13 tiles cut from one stomach biopsy slide · H&E · ×20.
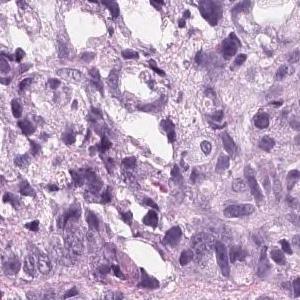
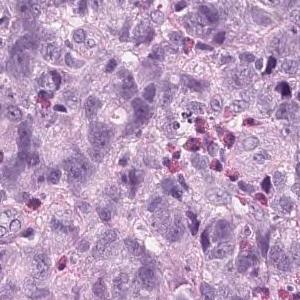
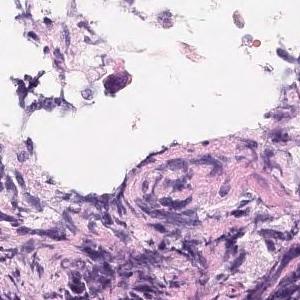
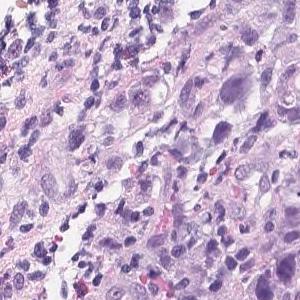
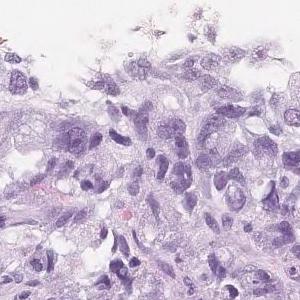
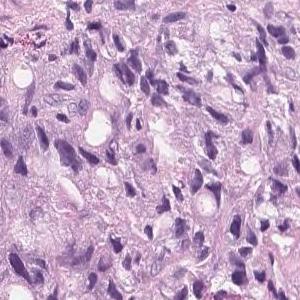
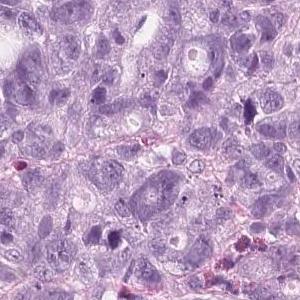
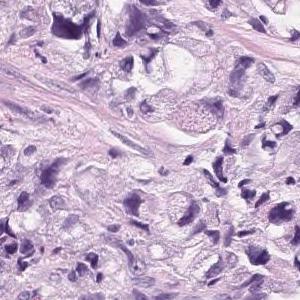
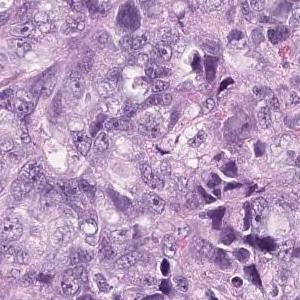
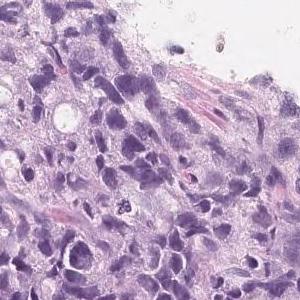
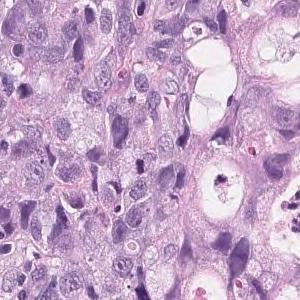
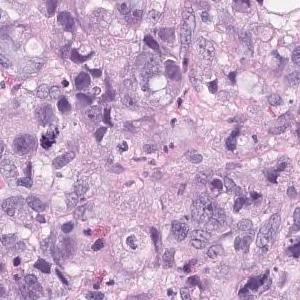
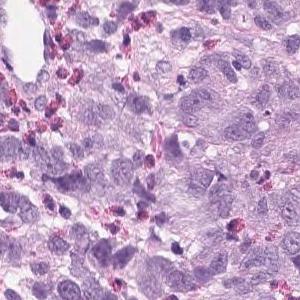
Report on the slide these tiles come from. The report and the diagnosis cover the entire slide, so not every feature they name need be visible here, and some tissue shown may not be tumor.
Tumor tissue that infiltrates and proliferates by forming small glandular cavities in the superficial layer to the submucosa or forming a mass is observed. moderately differentiated tubular adenocarcinoma
